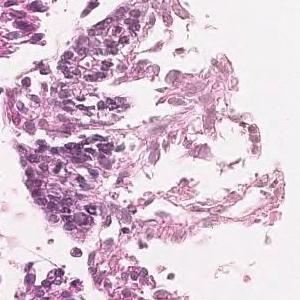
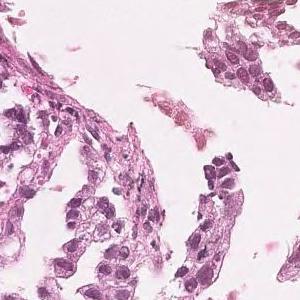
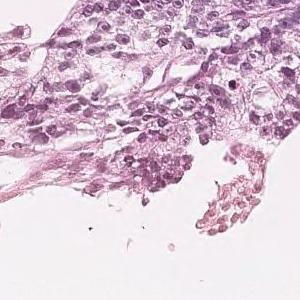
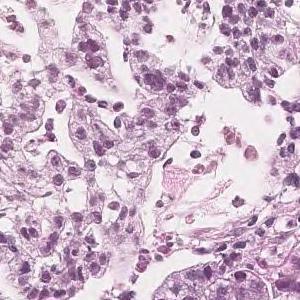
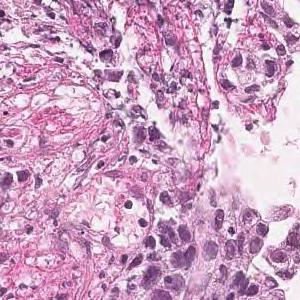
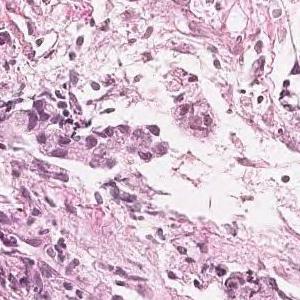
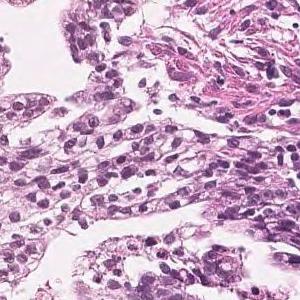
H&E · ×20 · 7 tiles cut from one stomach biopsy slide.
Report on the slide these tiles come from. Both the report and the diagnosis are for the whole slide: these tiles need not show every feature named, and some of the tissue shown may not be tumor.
Tumor tissue in which highly columnar atypical epithelial cells with nuclear enlargement and increased nuclear chromatin show papillary to papillary ductal structure and proliferate is observed. Papillary adenocarcinoma.
